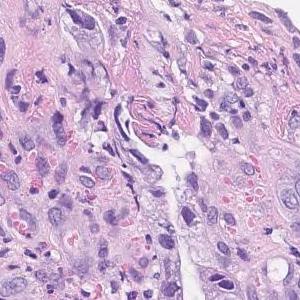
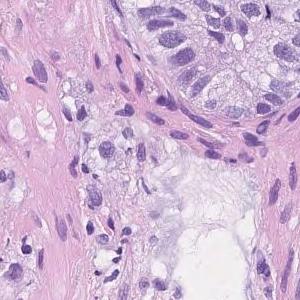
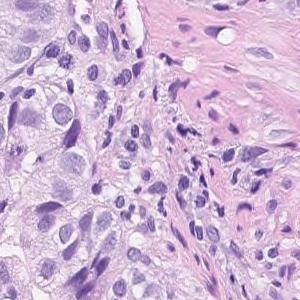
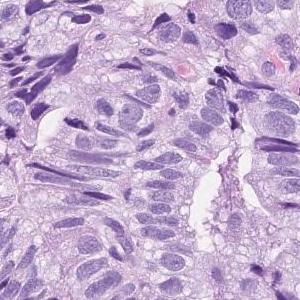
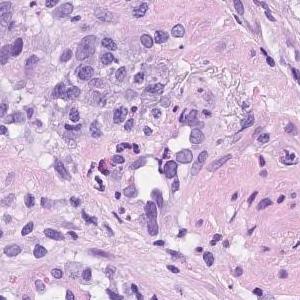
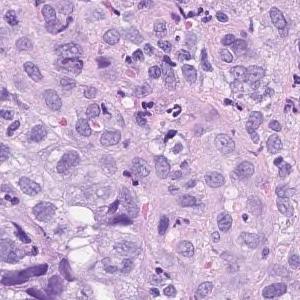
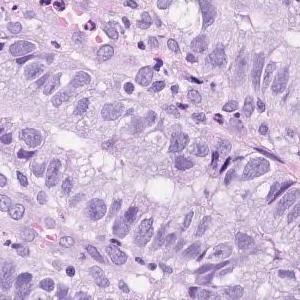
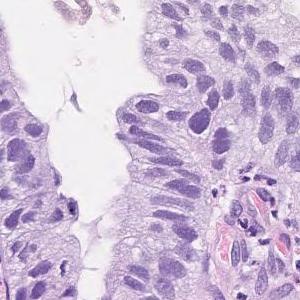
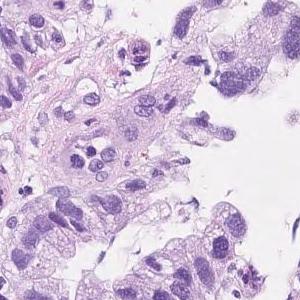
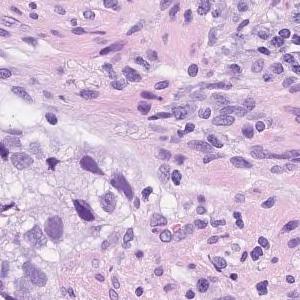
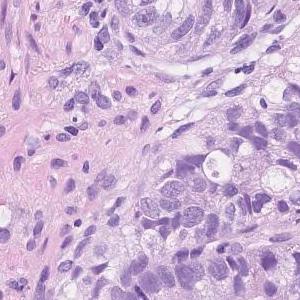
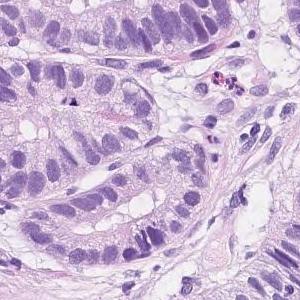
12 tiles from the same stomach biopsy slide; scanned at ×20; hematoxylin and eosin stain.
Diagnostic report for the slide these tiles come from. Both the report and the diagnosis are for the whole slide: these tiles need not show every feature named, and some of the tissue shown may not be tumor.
Atypical l cells with atypical nuclei forming solid or diffuse vesicles or small irregular atypical ducts and growing in a complex manner. moderately differentiated tubular adenocarcinoma
